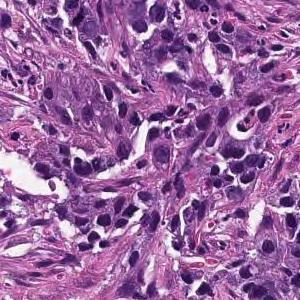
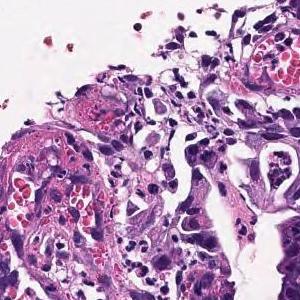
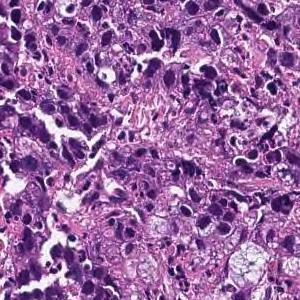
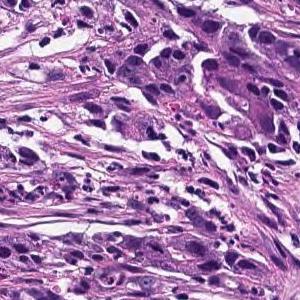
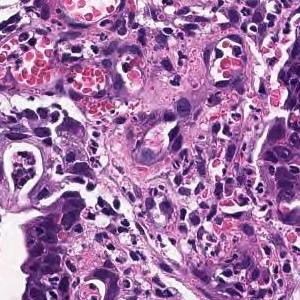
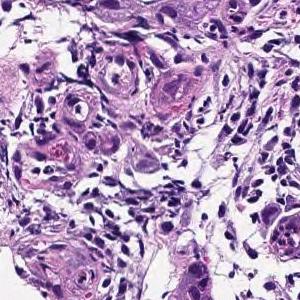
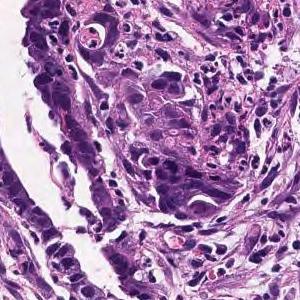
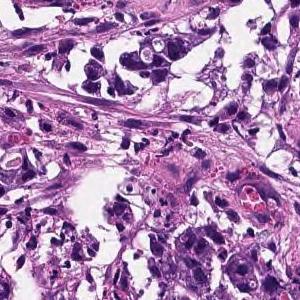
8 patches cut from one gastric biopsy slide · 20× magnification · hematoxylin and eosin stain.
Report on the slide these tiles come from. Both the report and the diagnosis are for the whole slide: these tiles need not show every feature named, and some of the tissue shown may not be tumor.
Medium to small, irregular glandular ducts are formed in the superficial epithelium, and in some cases, the glandular ducts are fused to show solid alveolar lesions and infiltrating tumor tissue is observed. Moderately to poorly differentiated adenocarcinoma.
